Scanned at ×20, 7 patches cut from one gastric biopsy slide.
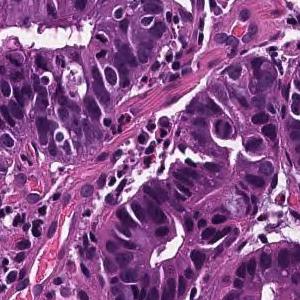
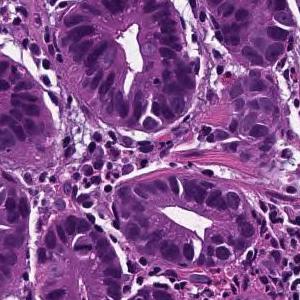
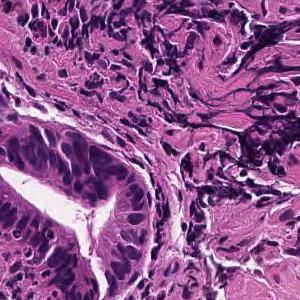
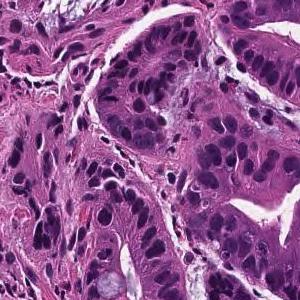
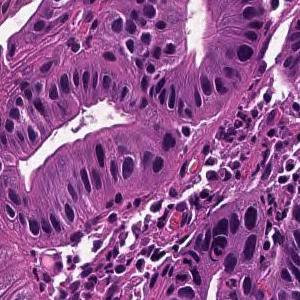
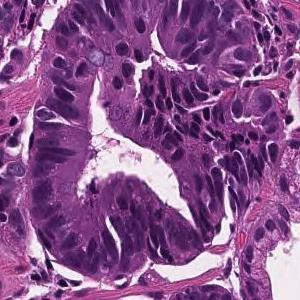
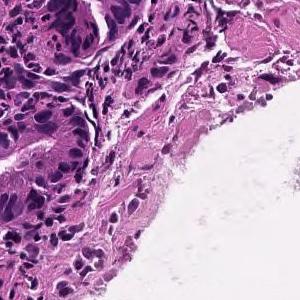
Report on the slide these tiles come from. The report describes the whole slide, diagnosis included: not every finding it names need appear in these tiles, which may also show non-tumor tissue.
From the superficial epithelium to the muscularis mucosae, tumor tissue consisting of medium-sized and irregular glandular ducts infiltrating is observed. Well differentiated tubular adenocarcinoma
